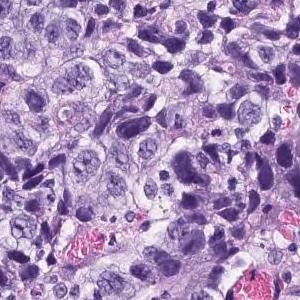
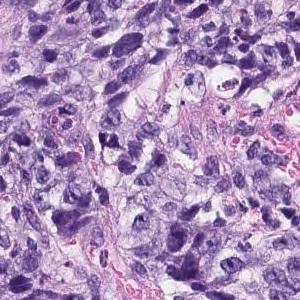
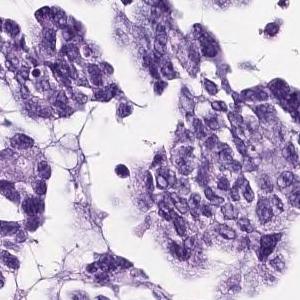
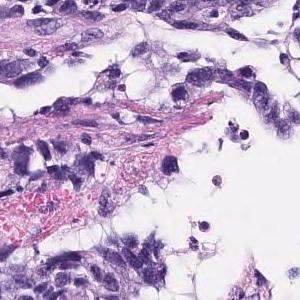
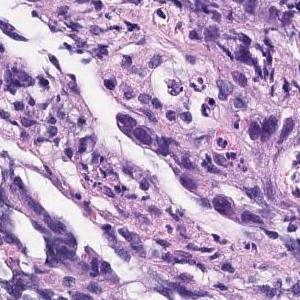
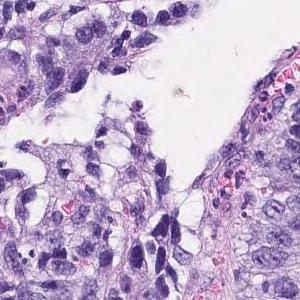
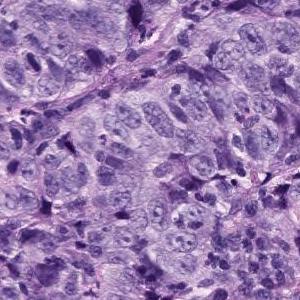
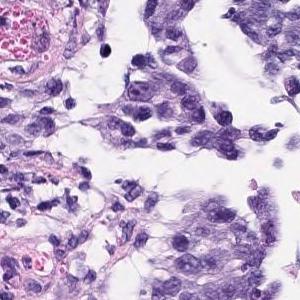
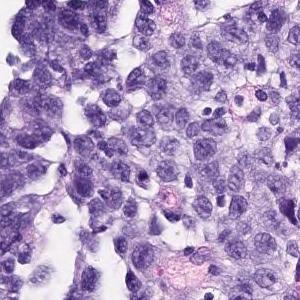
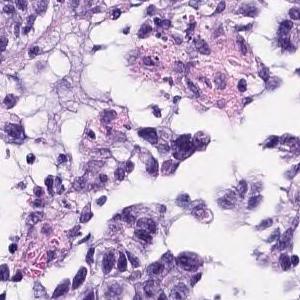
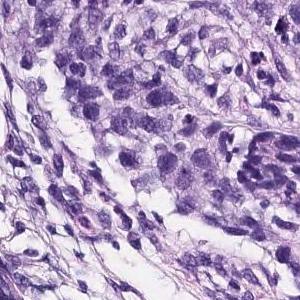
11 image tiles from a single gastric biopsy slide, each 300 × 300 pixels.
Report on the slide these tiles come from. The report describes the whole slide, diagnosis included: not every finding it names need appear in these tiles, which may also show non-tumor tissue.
The superficial epithelium shows a large sheet-like shape, and some tumor tissue infiltrates with small irregular ducts. Poorly differentiated adenocarcinoma, solid-type
Tumor subtype: poorly differentiated adenocarcinoma, solid type. This name comes from the Japanese Classification of Gastric Carcinoma; the WHO 2019 classification calls it tubular adenocarcinoma, poorly differentiated.
